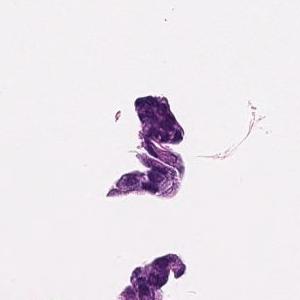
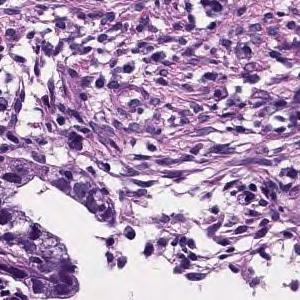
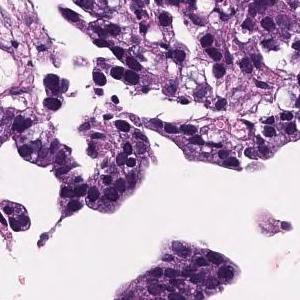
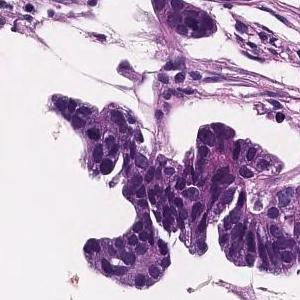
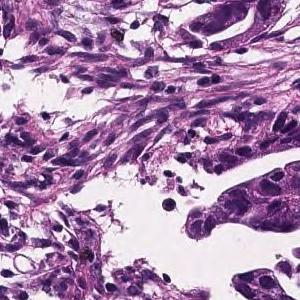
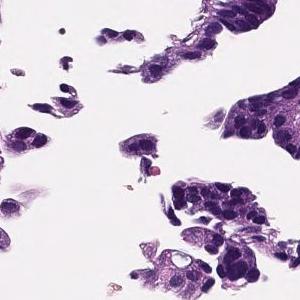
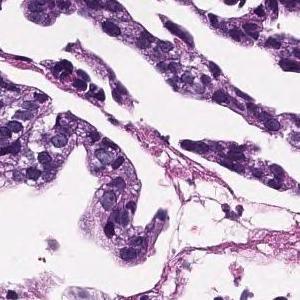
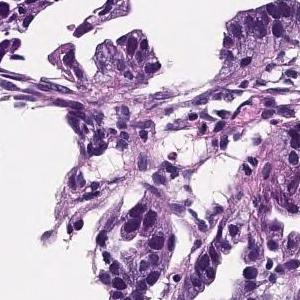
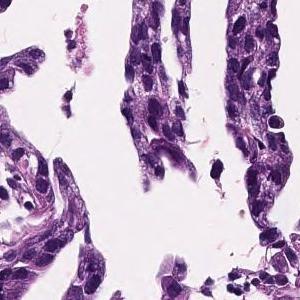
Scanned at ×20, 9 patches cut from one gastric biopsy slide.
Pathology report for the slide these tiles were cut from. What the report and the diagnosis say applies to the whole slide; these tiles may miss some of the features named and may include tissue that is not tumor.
In the lamina propria, tumor tissue that invades by forming medium-sized to small, irregular glandular ducts is observed. moderately differentiated tubular adenocarcinoma
